Scanned at ×20, H&E, 13 patches cut from one gastric biopsy slide.
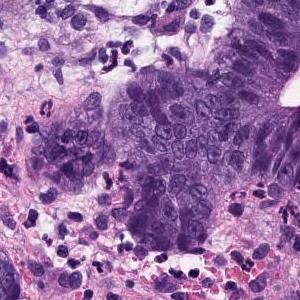
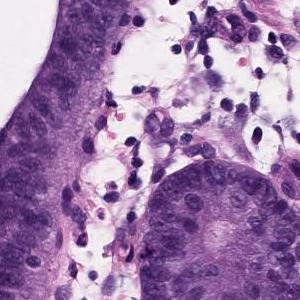
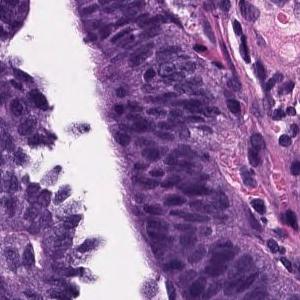
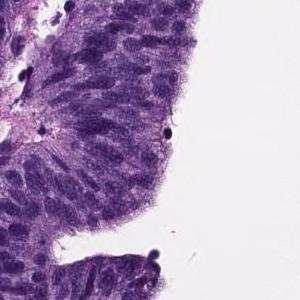
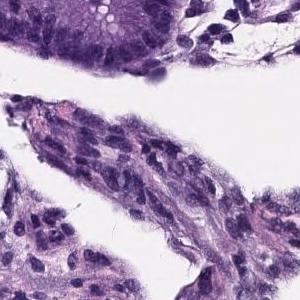
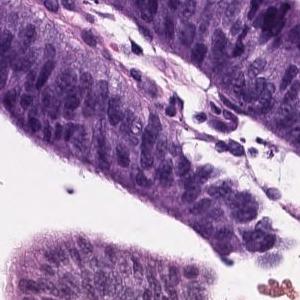
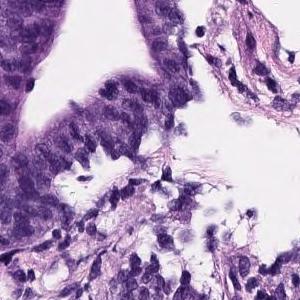
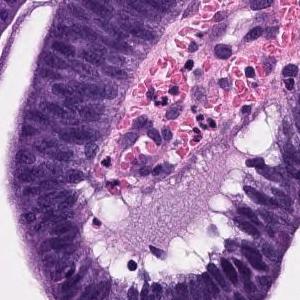
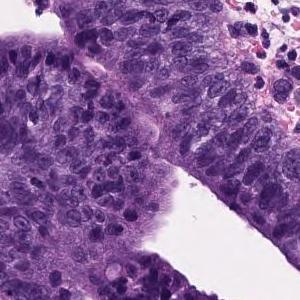
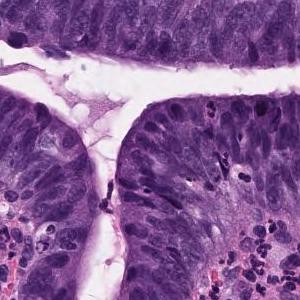
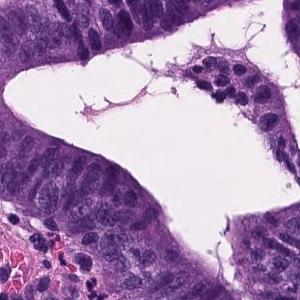
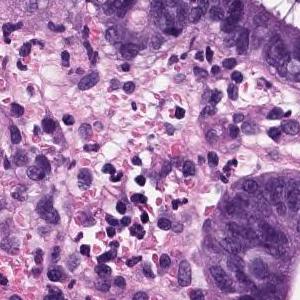
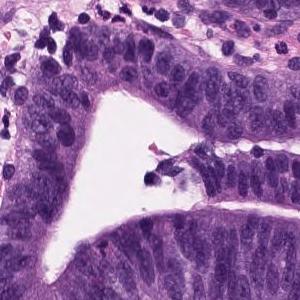
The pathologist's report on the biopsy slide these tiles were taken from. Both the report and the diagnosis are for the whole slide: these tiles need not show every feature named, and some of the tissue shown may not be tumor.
Papillo-tubular growth of atypical tubules with nuclear swelling is observed. Well differentiated tubular adenocarcinoma
